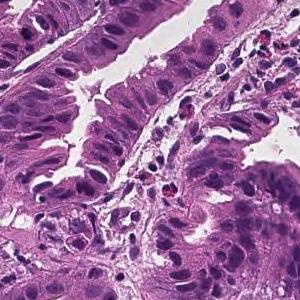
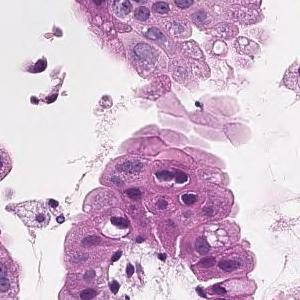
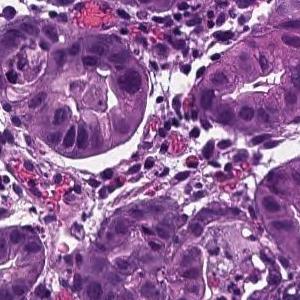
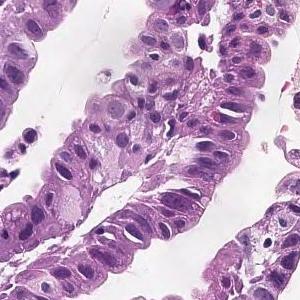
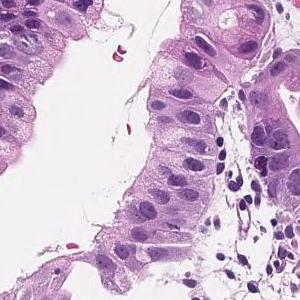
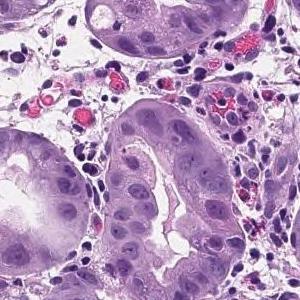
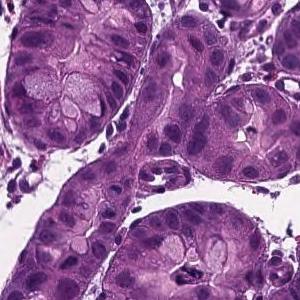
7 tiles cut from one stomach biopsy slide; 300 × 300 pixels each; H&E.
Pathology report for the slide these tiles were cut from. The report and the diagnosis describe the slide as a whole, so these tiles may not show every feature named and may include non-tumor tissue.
On the superficial epithelium, tumor tissue that infiltrates by forming medium-sized papillary or small irregular ducts is observed. Papillary adenocarcinoma
